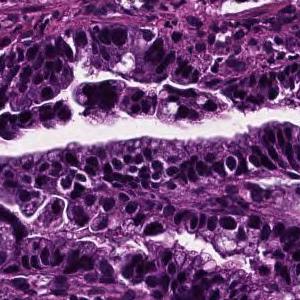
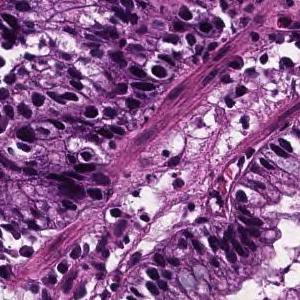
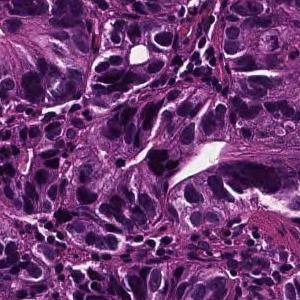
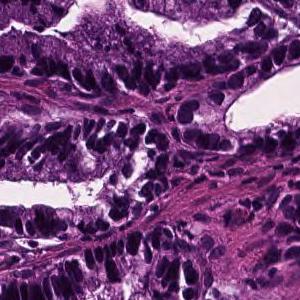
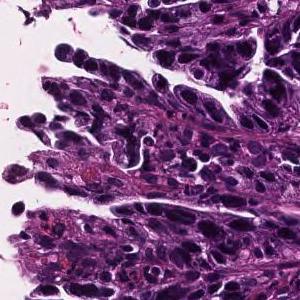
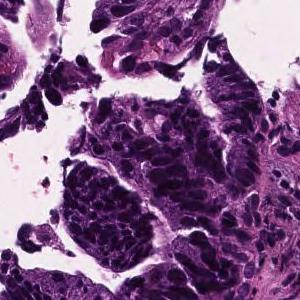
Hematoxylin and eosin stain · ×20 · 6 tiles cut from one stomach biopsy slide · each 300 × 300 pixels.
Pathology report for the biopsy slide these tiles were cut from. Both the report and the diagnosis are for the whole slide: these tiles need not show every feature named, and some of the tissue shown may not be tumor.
In the superficial epithelium, tumor tissue that invades by forming medium-sized to small, irregular ducts is observed. Well differentiated tubular adenocarcinoma.
